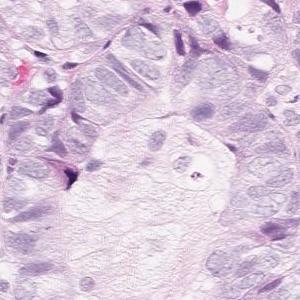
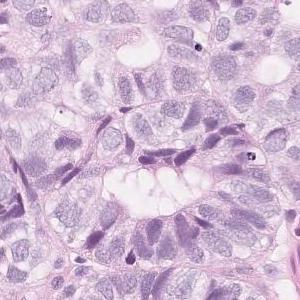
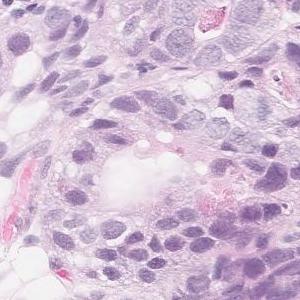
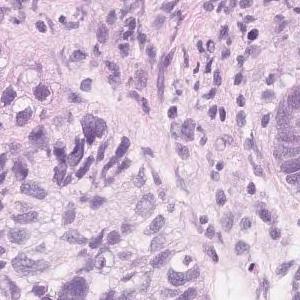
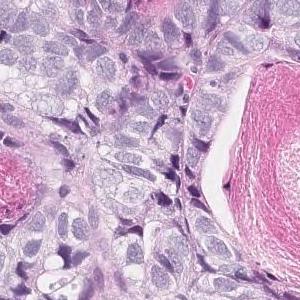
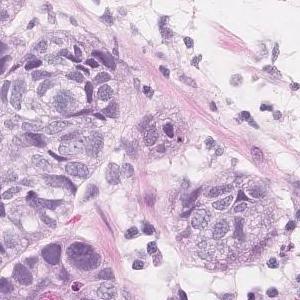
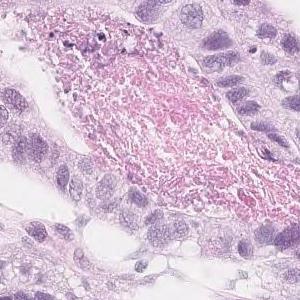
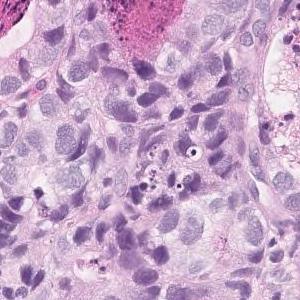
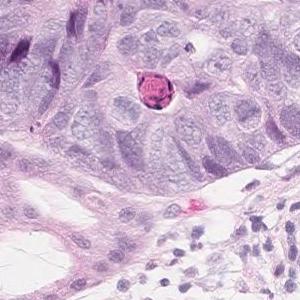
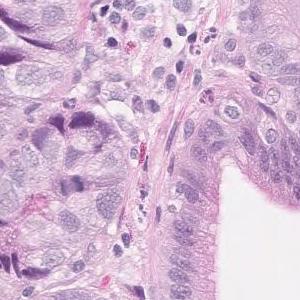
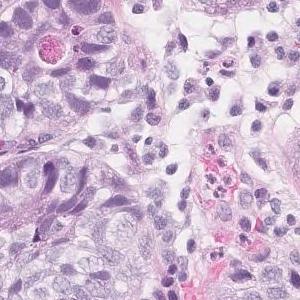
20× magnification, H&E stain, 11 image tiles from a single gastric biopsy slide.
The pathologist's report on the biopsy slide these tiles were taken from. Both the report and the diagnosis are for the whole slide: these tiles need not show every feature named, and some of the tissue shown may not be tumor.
In the superficial epithelium, tumor tissue that invades by forming medium-sized to small, irregular ducts is observed. Moderately differentiated adenocarcinoma.
Histological subtype: Moderately differentiated tubular adenocarcinoma.
